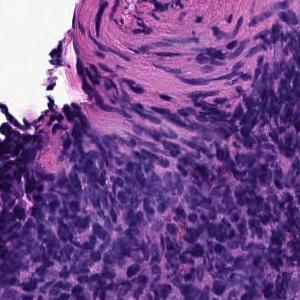
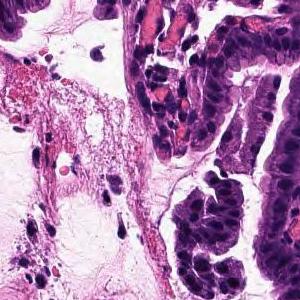
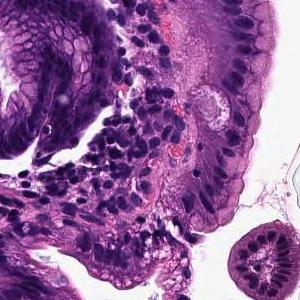
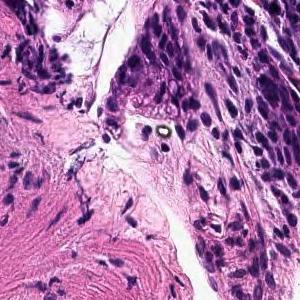
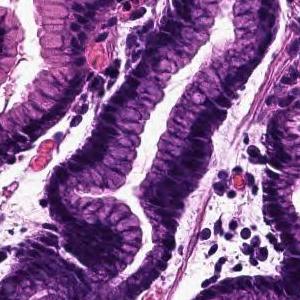
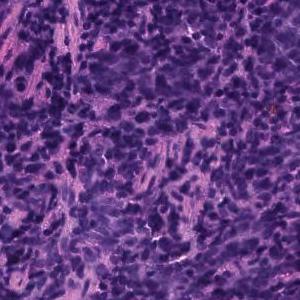
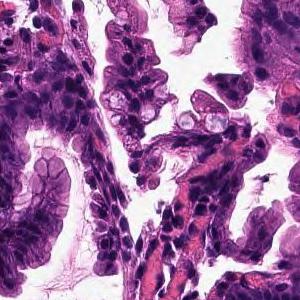
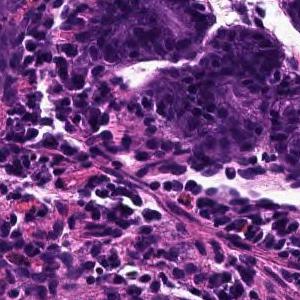
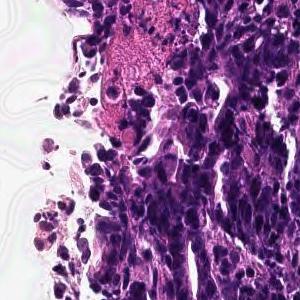
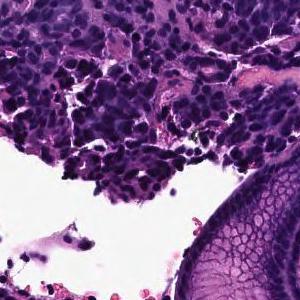
10 image tiles from a single gastric biopsy slide; H&E; ×20.
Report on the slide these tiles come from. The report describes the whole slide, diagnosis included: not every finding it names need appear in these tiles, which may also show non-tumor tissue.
The superficial epithelium shows a large sheet-like shape, and some tumor tissue infiltrates with small irregular ducts. Poorly differentiated adenocarcinoma, solid-type
Histological subtype: Poorly differentiated adenocarcinoma, solid type (Japanese Classification of Gastric Carcinoma). The WHO 2019 equivalent is tubular adenocarcinoma, poorly differentiated.
